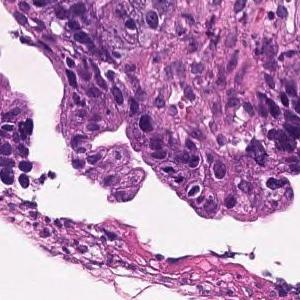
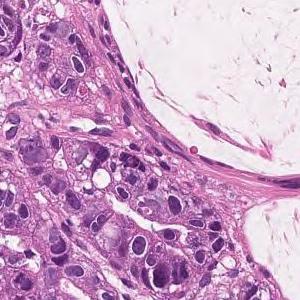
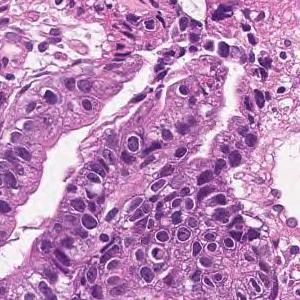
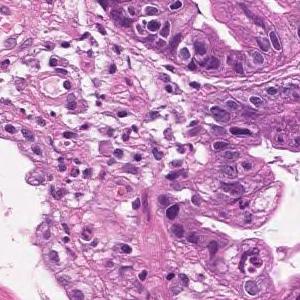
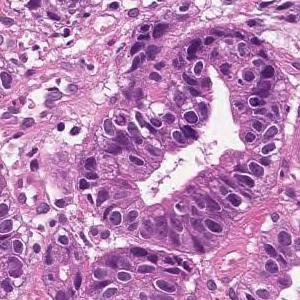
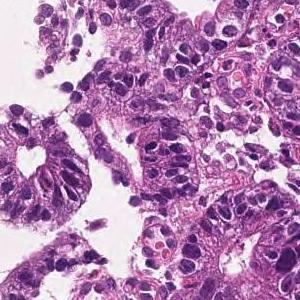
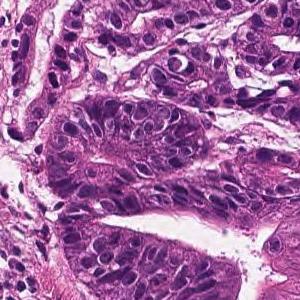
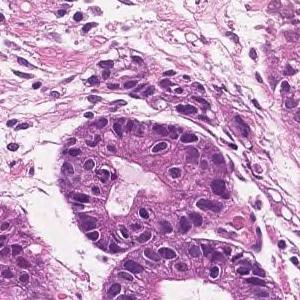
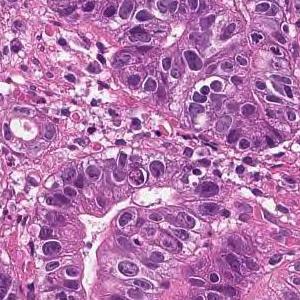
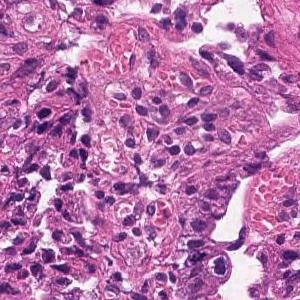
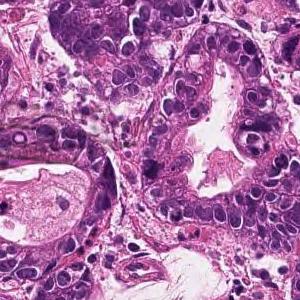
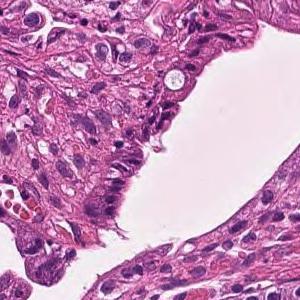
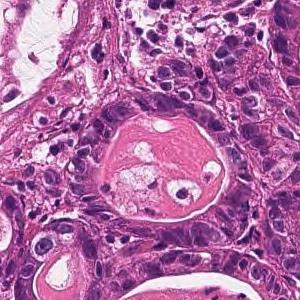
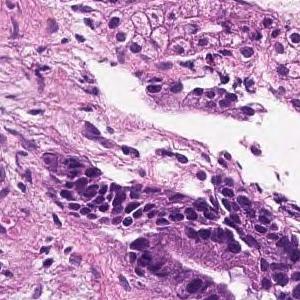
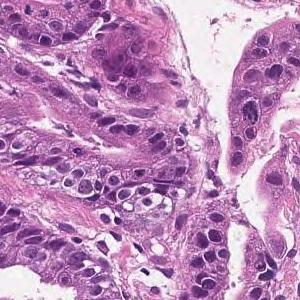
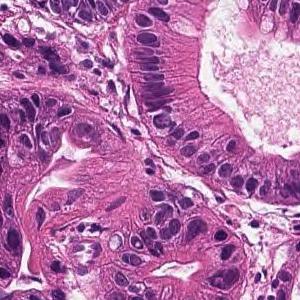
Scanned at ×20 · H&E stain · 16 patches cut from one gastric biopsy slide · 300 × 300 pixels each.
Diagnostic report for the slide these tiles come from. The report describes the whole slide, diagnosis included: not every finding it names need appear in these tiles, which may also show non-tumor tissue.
In the superficial epithelium, tumor tissue that invades by forming medium-sized to small, irregular ducts is observed. Well differentiated tubular adenocarcinoma.
